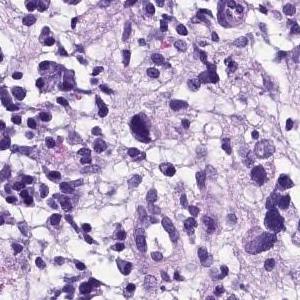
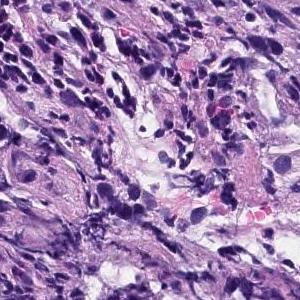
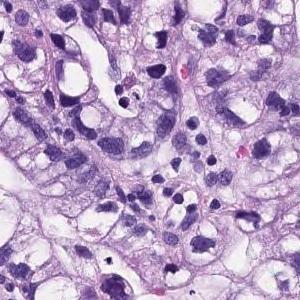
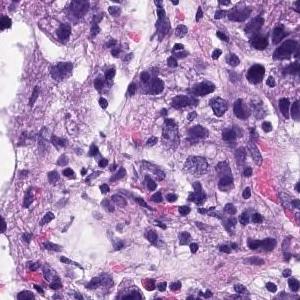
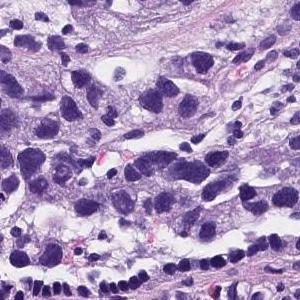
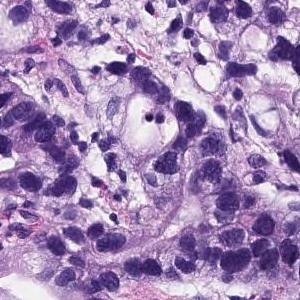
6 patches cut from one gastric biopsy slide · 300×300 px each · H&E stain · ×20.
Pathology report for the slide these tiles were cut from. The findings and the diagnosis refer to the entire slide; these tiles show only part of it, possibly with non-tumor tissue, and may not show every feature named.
Medium to small, irregular glandular ducts are formed in the superficial epithelium, and in some cases, the glandular ducts are fused to show solid alveolar lesions and infiltrating tumor tissue is observed. Poorly differentiated adenocarcinoma, Moderately differentiated adenocarcinoma.
The dataset labels this slide moderately differentiated tubular adenocarcinoma.
